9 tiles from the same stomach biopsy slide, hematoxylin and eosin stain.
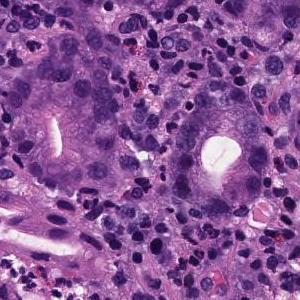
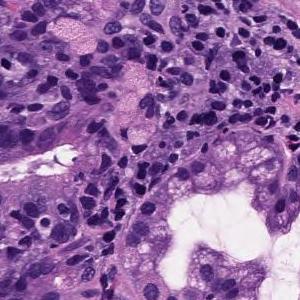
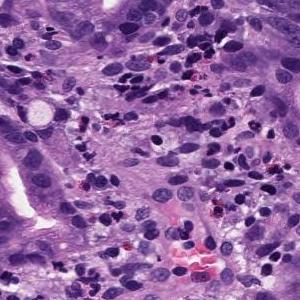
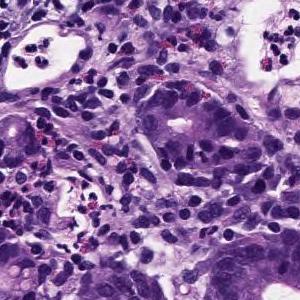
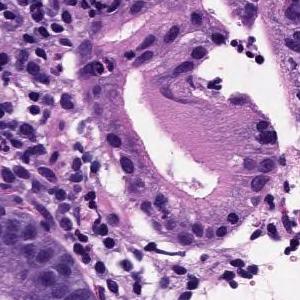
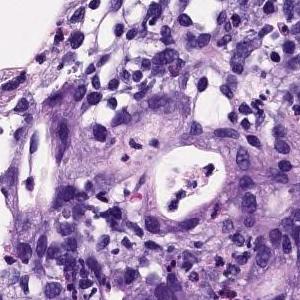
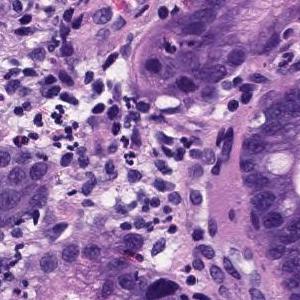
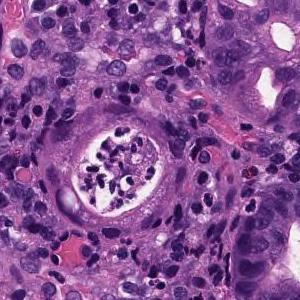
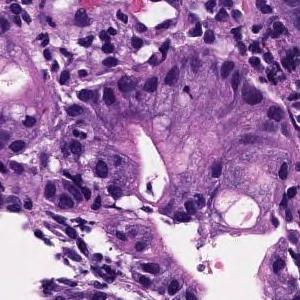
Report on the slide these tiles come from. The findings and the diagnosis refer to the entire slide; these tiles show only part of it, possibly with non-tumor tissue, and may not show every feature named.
Medium to small, irregular glandular ducts are formed in the superficial epithelium, and in some cases, the glandular ducts are fused to show solid alveolar lesions and infiltrating tumor tissue is observed. Moderately to poorly differentiated adenocarcinoma.
